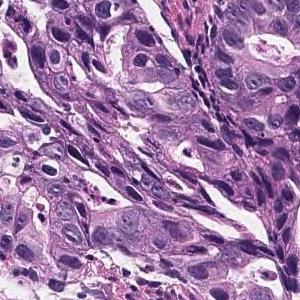
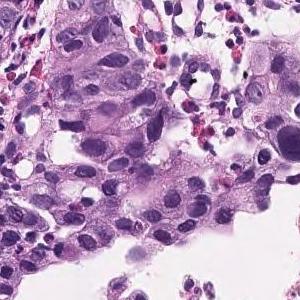
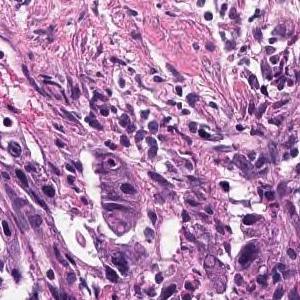
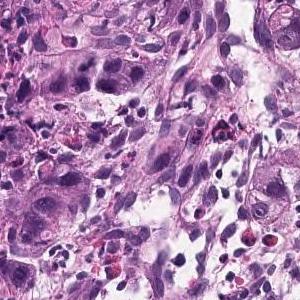
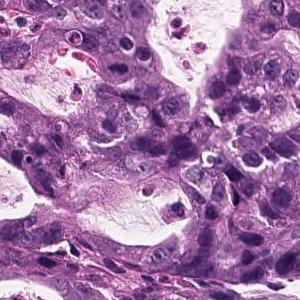
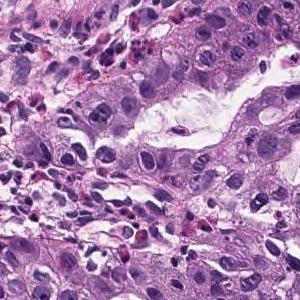
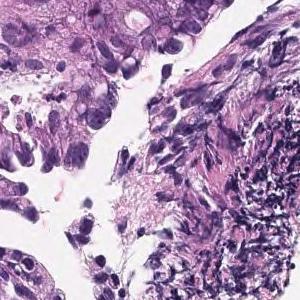
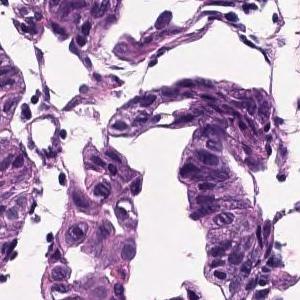
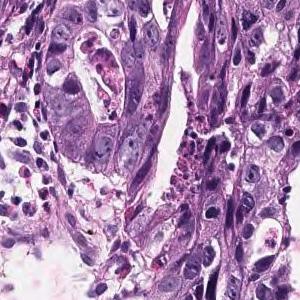
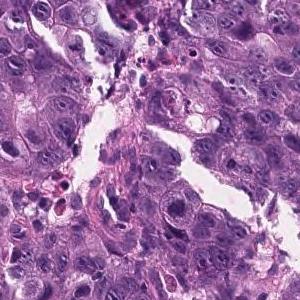
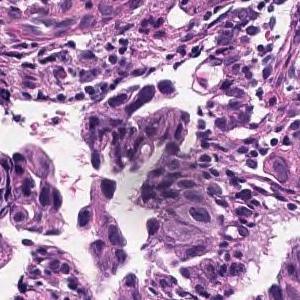
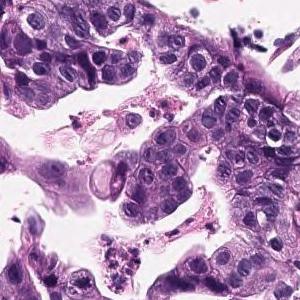
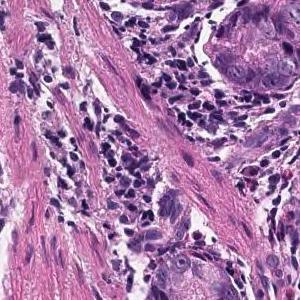
13 patches cut from one gastric biopsy slide; 300 × 300 pixels each; hematoxylin and eosin stain.
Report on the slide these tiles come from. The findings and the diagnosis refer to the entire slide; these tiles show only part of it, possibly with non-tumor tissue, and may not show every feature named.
Tumor cells are large, highly columnar, large club-shaped nuclei, and are associated with chromatin aggregation. Papillary adenocarcinoma.
